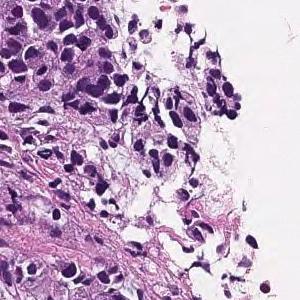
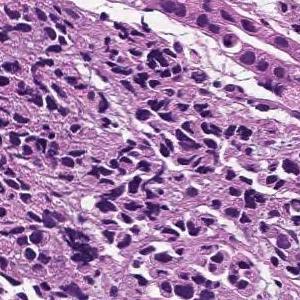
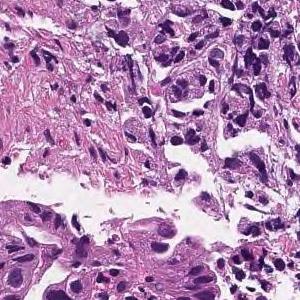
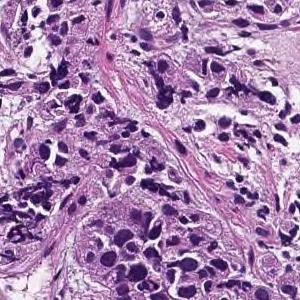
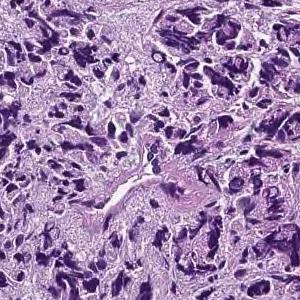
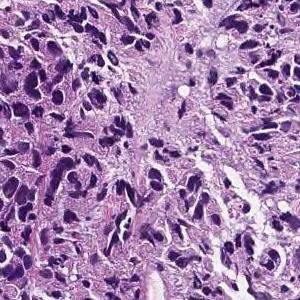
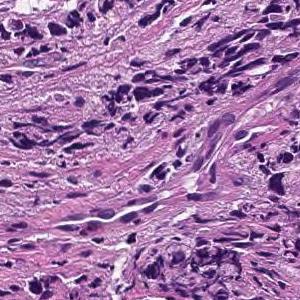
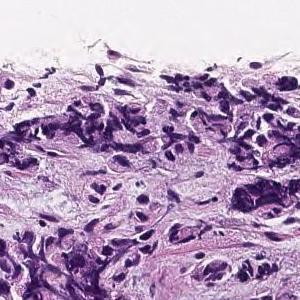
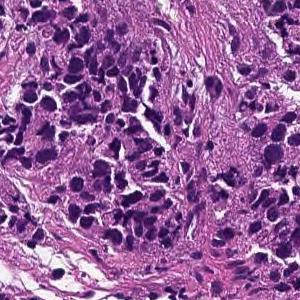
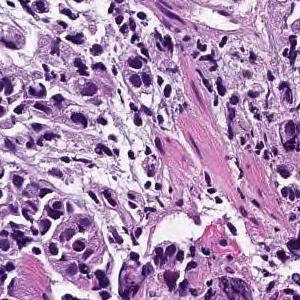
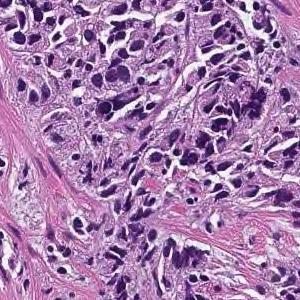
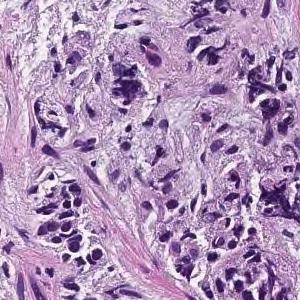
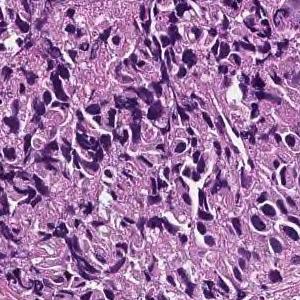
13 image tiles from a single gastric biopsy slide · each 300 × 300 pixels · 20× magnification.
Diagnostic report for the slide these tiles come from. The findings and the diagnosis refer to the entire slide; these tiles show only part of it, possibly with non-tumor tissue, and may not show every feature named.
The lamina propria shows small cord-like tumor tissue that infiltrates with fibrosis and marked chronic inflammatory cell infiltration. Poorly differentiated adenocarcinoma, non-solid type
The non-solid type named here is a Japanese Classification of Gastric Carcinoma category.
